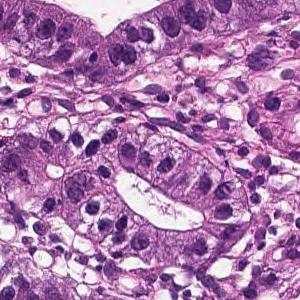
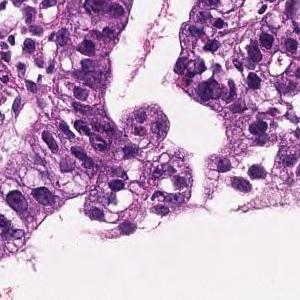
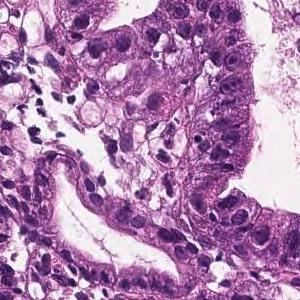
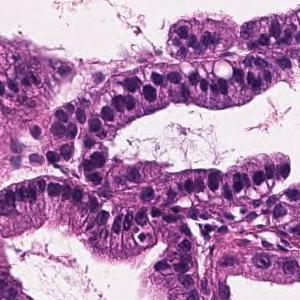
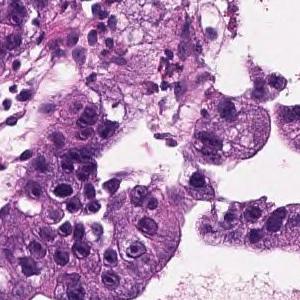
5 tiles cut from one stomach biopsy slide; each 300 × 300 pixels; scanned at ×20; hematoxylin and eosin stain.
Diagnostic report for the slide these tiles come from. Both the report and the diagnosis are for the whole slide: these tiles need not show every feature named, and some of the tissue shown may not be tumor.
On the superficial epithelium, tumor tissue that infiltrates by forming medium-sized papillary or small irregular ducts is observed. Papillary adenocarcinoma
